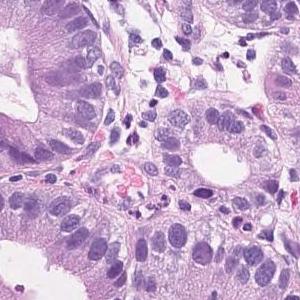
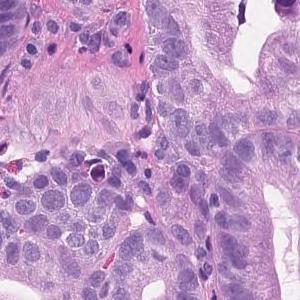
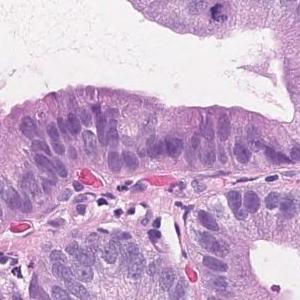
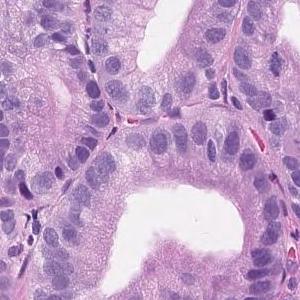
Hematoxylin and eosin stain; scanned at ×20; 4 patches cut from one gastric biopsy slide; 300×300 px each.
Diagnostic report for the slide these tiles come from. The report and the diagnosis cover the entire slide, so not every feature they name need be visible here, and some tissue shown may not be tumor.
Tumor tissue consisting of medium-sized and irregular ducts is observed infiltrating in the superficial epithelium. Tumor cells are highly columnar, with nuclei aligned basolaterally and polarized. Well differentiated tubular adenocarcinoma.
